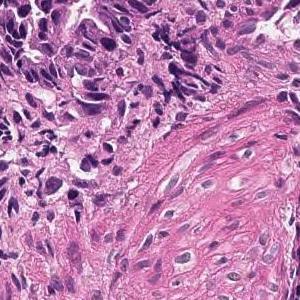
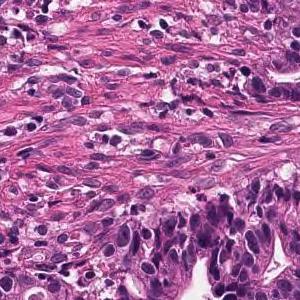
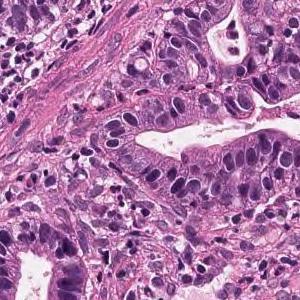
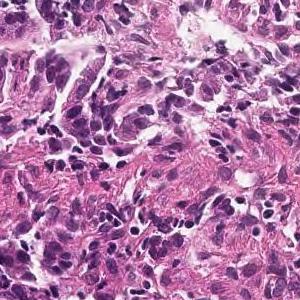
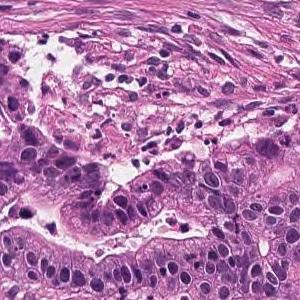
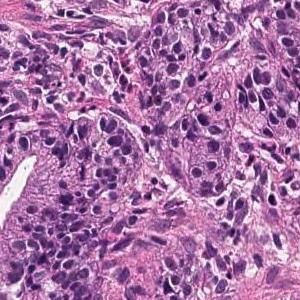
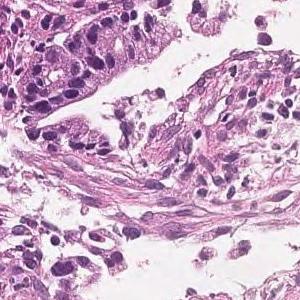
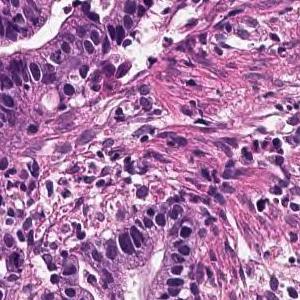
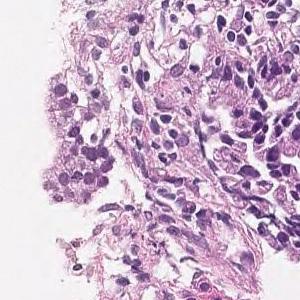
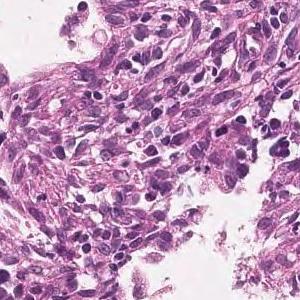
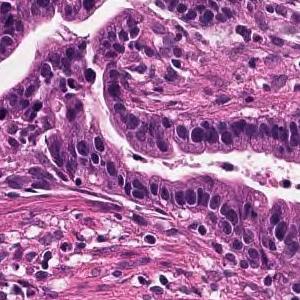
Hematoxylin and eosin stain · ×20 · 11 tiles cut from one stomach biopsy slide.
Pathology report for the slide these tiles were cut from. The report and the diagnosis cover the entire slide, so not every feature they name need be visible here, and some tissue shown may not be tumor.
Tumor cells are large, highly columnar, large club-shaped nuclei, and are associated with chromatin aggregation. Papillary adenocarcinoma.
